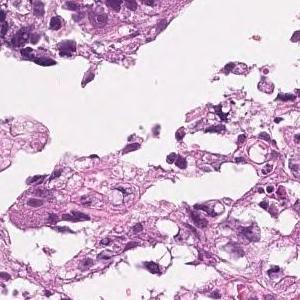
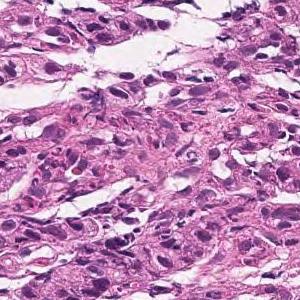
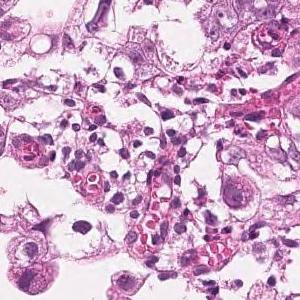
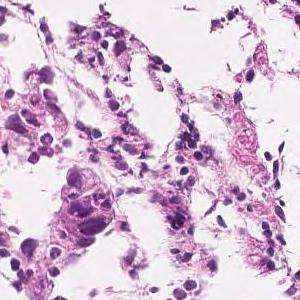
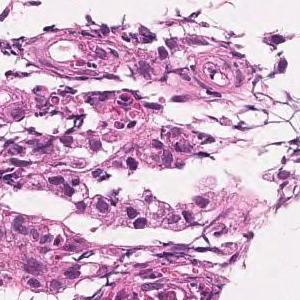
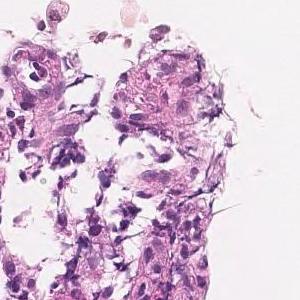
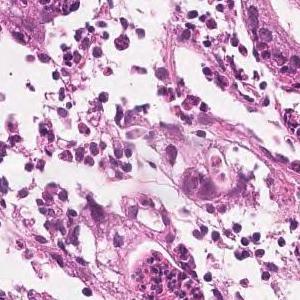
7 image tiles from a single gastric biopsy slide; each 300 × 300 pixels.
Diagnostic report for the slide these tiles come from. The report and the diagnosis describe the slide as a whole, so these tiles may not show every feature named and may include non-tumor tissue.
In the superficial epithelium, medium to small, irregular glandular ducts are formed, and in some parts, the glandular ducts are fused, and in other parts, small cord-like infiltrating tumor tissue is observed. Moderately to poorly differentiated adenocarcinoma.
